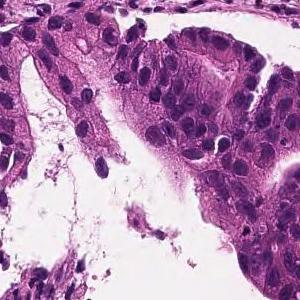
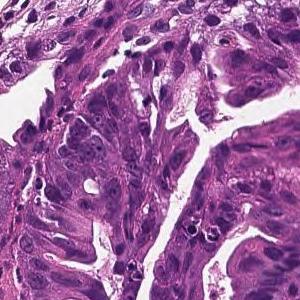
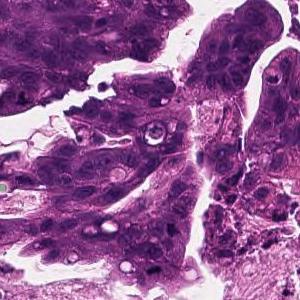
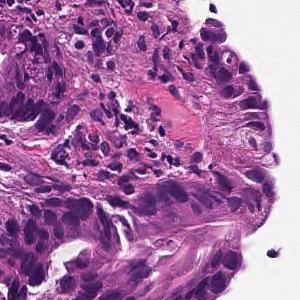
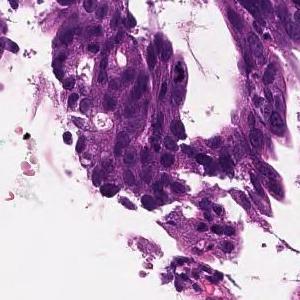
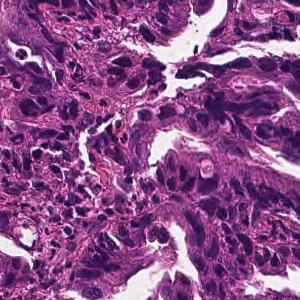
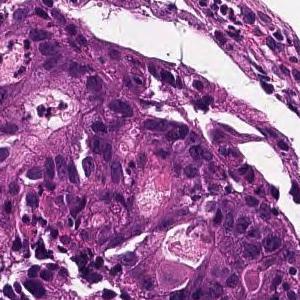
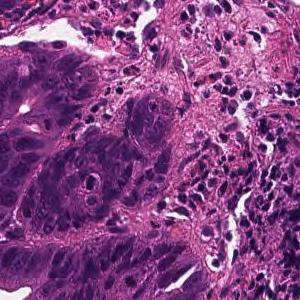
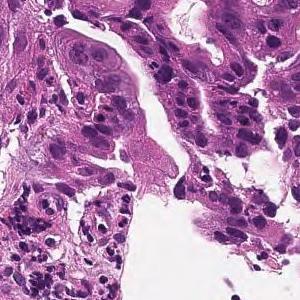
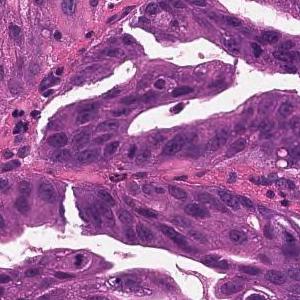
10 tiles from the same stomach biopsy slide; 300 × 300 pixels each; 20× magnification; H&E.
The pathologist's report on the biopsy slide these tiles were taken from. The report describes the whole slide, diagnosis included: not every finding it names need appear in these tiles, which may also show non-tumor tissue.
On the superficial epithelium, tumor tissue is found in which medium-sized irregular gland ducts fuse with each other and infiltrate. moderately differentiated tubular adenocarcinoma
